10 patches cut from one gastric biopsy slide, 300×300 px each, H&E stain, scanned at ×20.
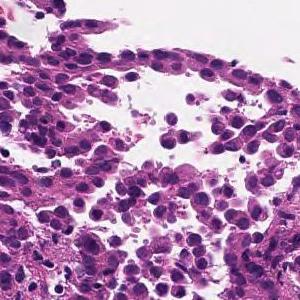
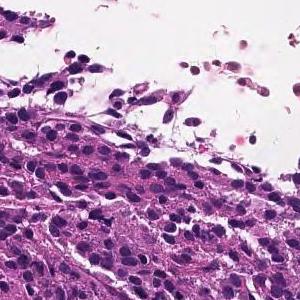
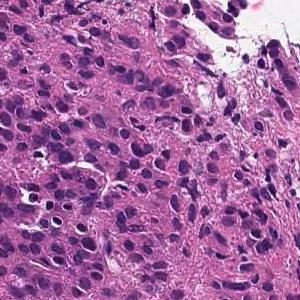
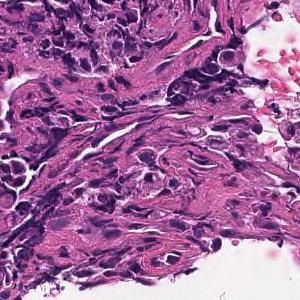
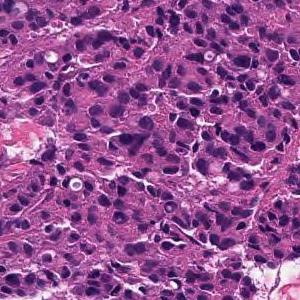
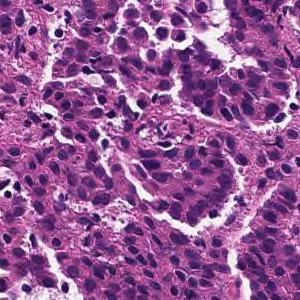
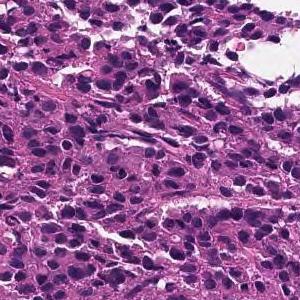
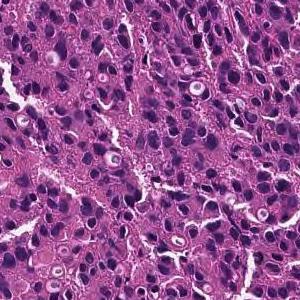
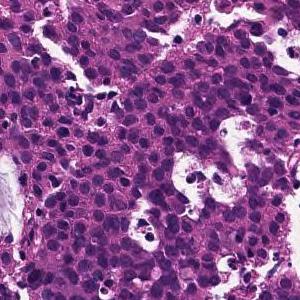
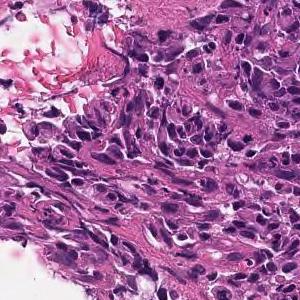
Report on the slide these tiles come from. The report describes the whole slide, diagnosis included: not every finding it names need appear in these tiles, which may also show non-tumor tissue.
The superficial epithelium shows a large sheet-like shape, and some tumor tissue infiltrates with small irregular ducts. Poorly differentiated adenocarcinoma, solid-type
Classified as poorly differentiated adenocarcinoma, solid type (Japanese Classification of Gastric Carcinoma). The WHO 2019 equivalent is tubular adenocarcinoma, poorly differentiated.
